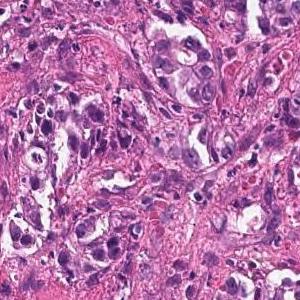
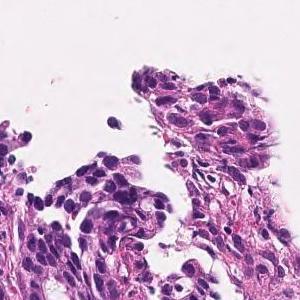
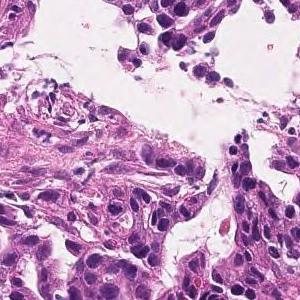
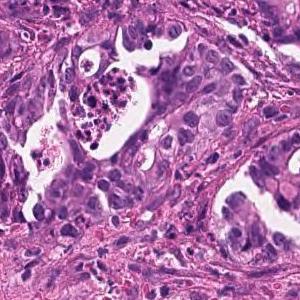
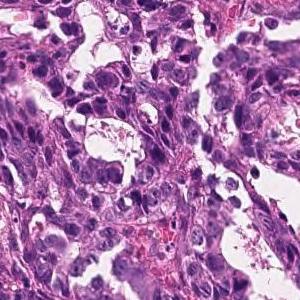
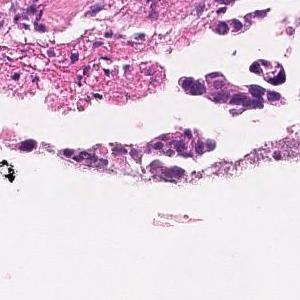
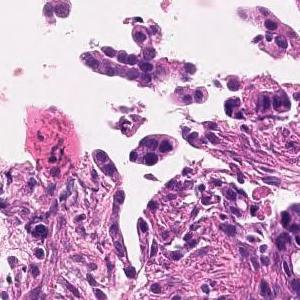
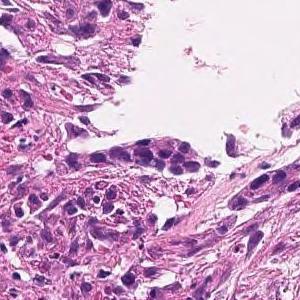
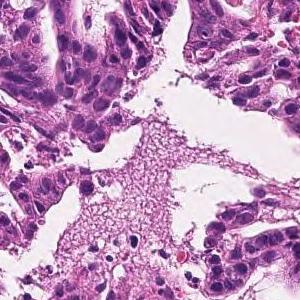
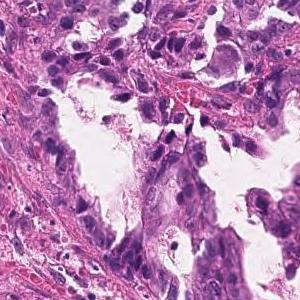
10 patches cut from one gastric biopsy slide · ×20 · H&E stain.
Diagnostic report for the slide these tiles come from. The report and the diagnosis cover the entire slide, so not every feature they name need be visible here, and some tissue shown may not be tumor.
On the superficial epithelium, tumor tissue consisting of images of small to medium-sized and irregular tubules infiltrating with irregular fusion is observed. moderately differentiated tubular adenocarcinoma
